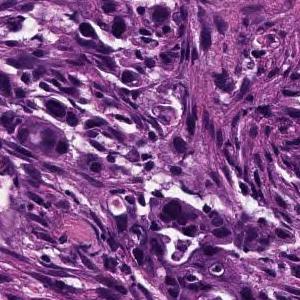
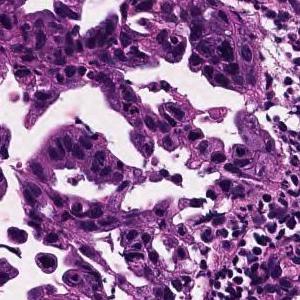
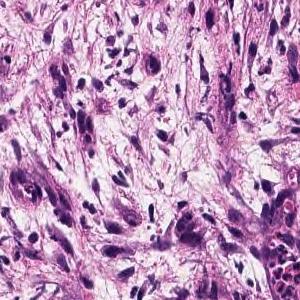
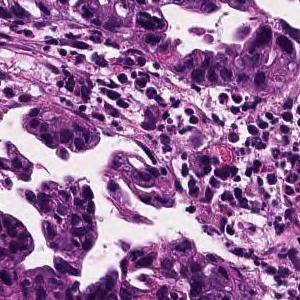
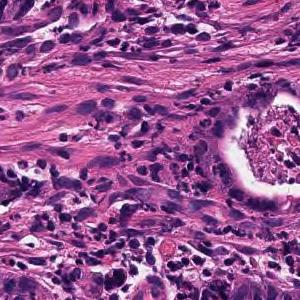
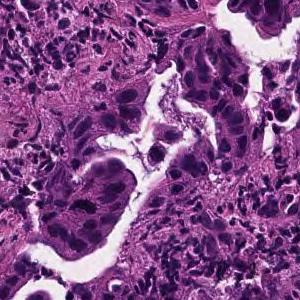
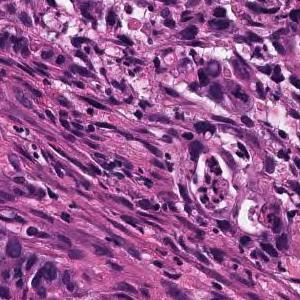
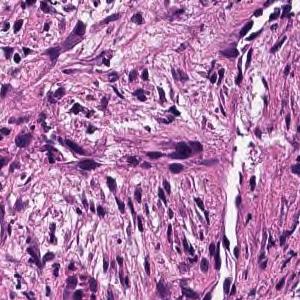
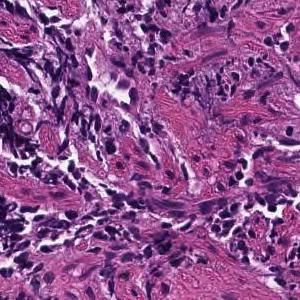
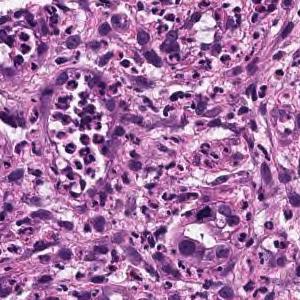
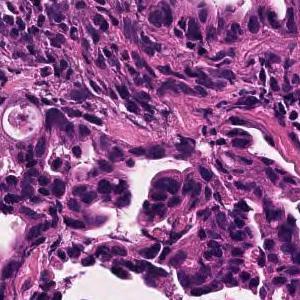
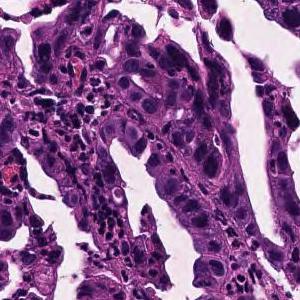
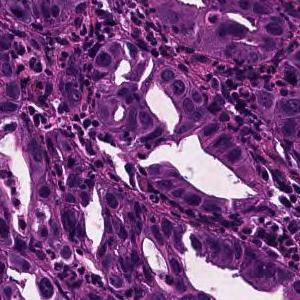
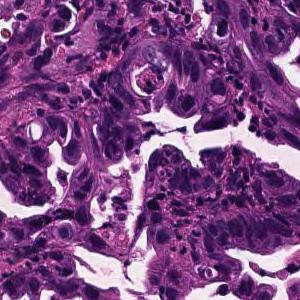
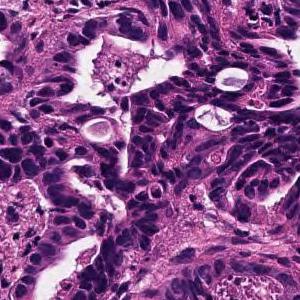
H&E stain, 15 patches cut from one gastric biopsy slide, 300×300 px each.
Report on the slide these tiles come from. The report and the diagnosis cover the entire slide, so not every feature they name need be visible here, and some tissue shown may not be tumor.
In the superficial epithelium, medium-sized to small irregular glandular ducts are formed, and in some cases, the glandular ducts are fused or small cord-like infiltrating tumor tissue is observed. moderately differentiated tubular adenocarcinoma
